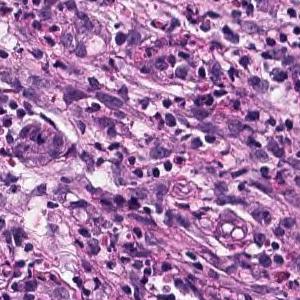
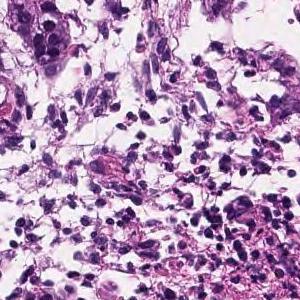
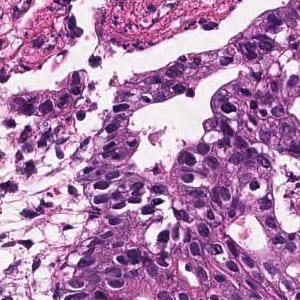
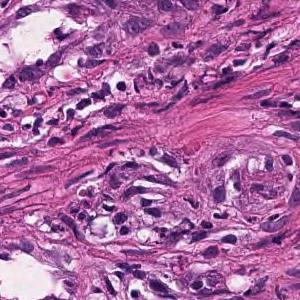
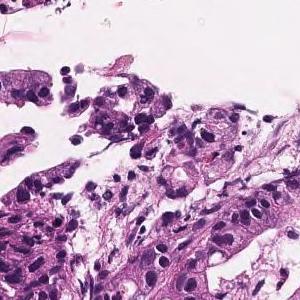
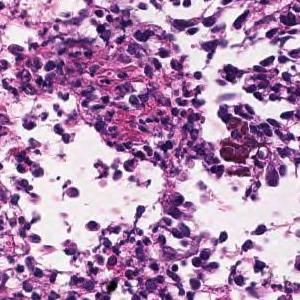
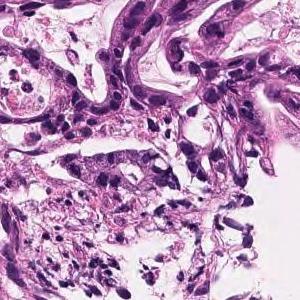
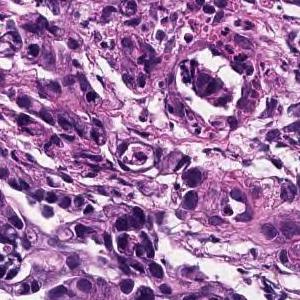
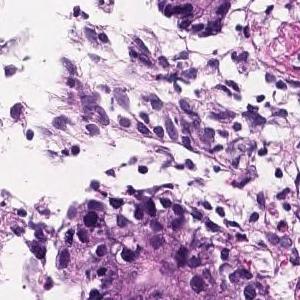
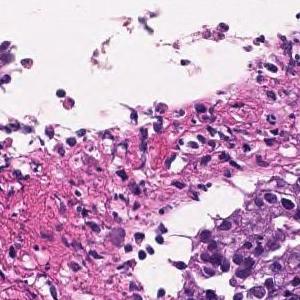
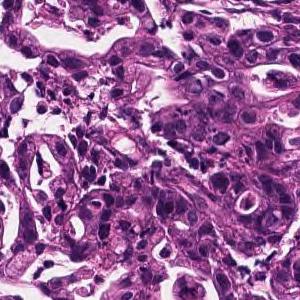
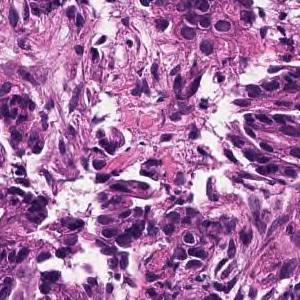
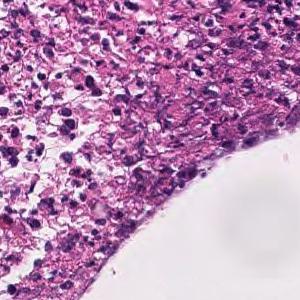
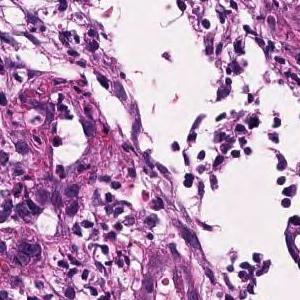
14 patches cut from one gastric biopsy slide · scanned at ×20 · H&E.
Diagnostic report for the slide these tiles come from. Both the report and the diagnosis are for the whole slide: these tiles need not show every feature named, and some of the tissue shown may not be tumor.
In the superficial epithelium, medium to small, irregular gland ducts are formed, and in some cases, the gland ducts are fused to show solid alveolar lesions and infiltrating tumor tissue is observed. Moderately to poorly differentiated adenocarcinoma.
